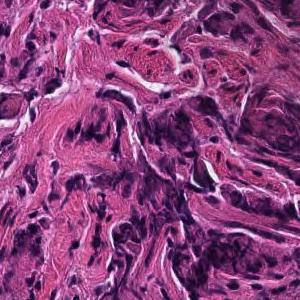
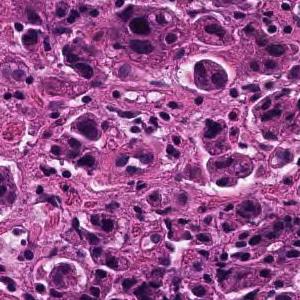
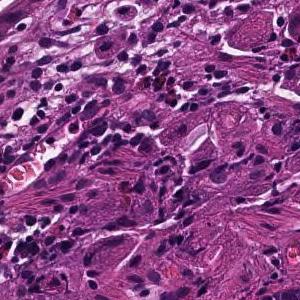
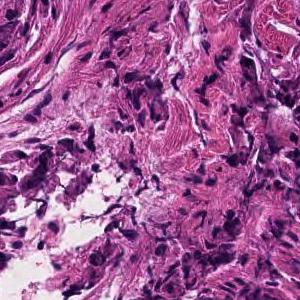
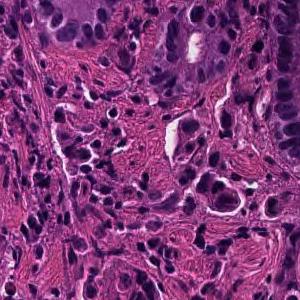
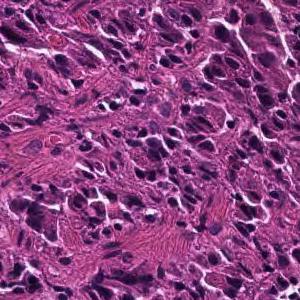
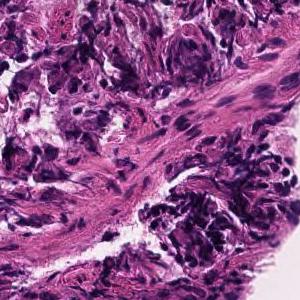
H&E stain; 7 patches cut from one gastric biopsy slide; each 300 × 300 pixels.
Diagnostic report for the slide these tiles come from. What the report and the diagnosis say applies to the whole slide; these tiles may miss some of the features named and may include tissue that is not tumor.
Tumor tissue consisting of cord-like or small, irregular glandular ducts fused and infiltrated is observed in the superficial epithelium. Poorly differentiated adenocarcinoma, non-solid type
The non-solid type named here is a Japanese Classification of Gastric Carcinoma category.
